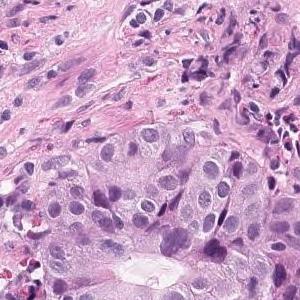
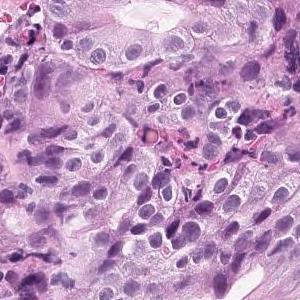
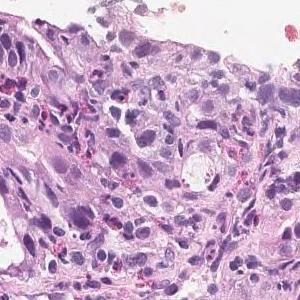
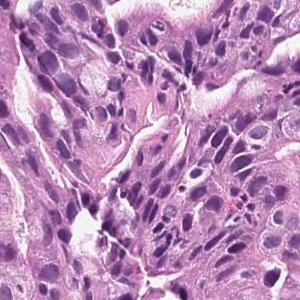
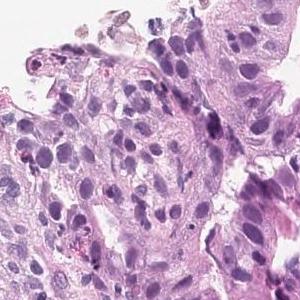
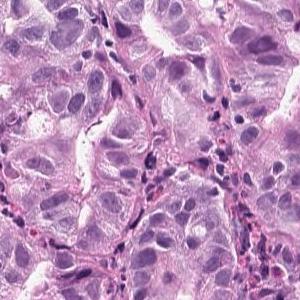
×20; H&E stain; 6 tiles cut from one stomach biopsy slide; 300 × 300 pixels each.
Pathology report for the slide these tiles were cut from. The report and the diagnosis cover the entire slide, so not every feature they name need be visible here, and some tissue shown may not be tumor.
On the superficial epithelium, tumor tissue consisting of medium-sized to large-sized, irregular tubules partially fused and densely proliferating is observed. moderately differentiated tubular adenocarcinoma
